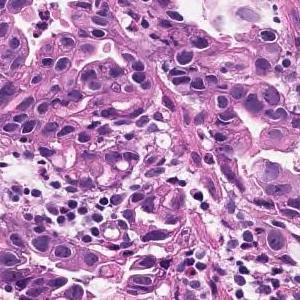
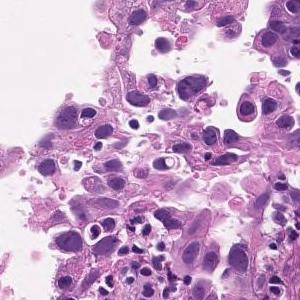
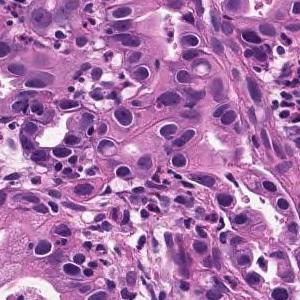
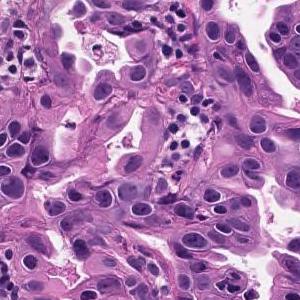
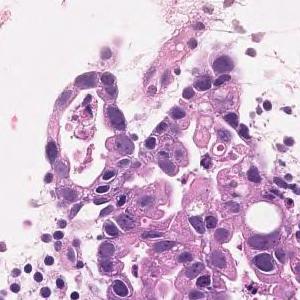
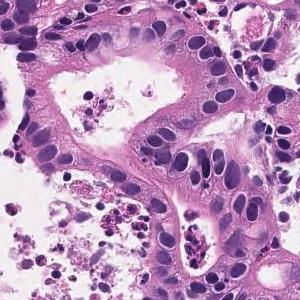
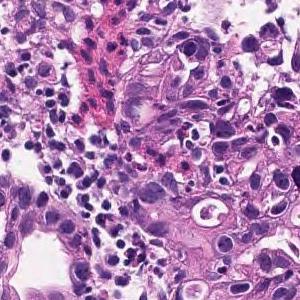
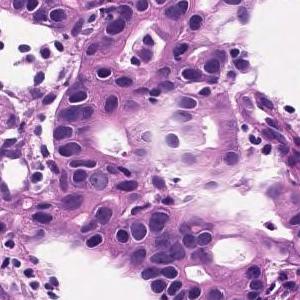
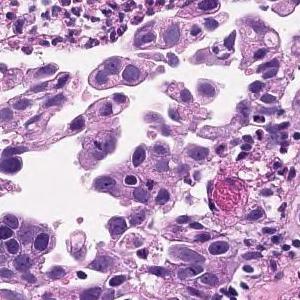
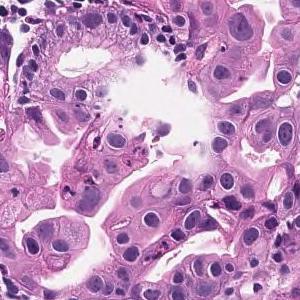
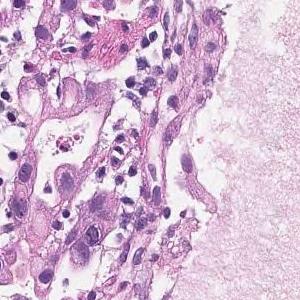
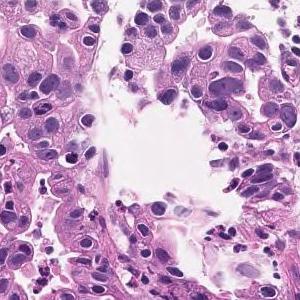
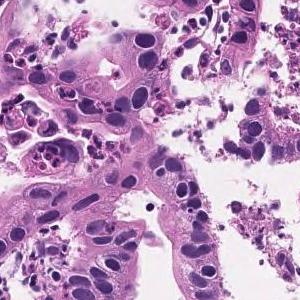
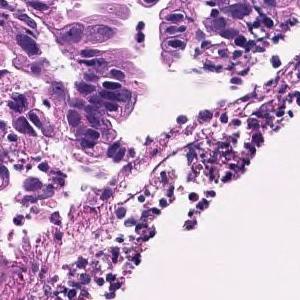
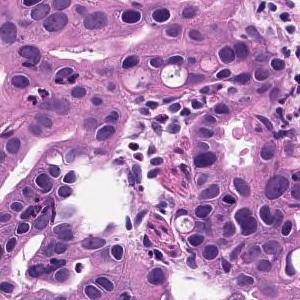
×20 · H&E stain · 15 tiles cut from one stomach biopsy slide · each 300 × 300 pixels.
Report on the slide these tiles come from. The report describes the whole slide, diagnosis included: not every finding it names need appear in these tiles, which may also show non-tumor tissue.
In the superficial epithelium, tumor tissue that invades by forming medium-sized to small, irregular ducts is observed. moderately differentiated tubular adenocarcinoma.
